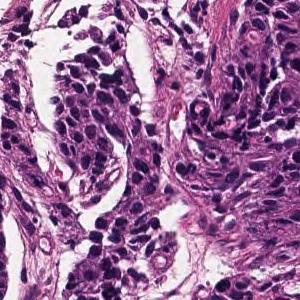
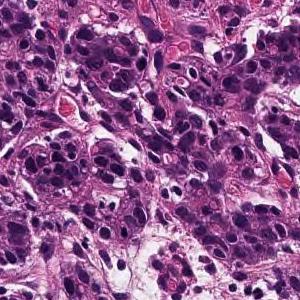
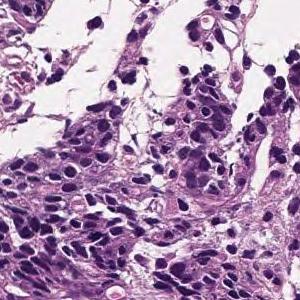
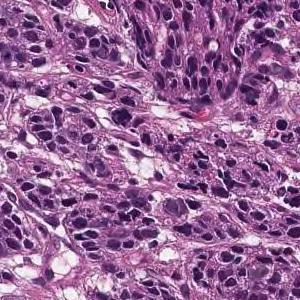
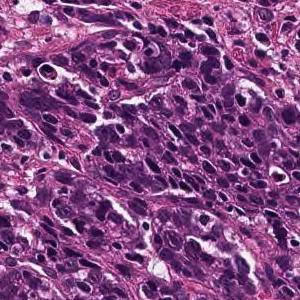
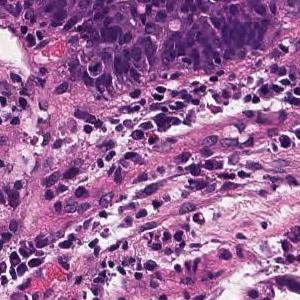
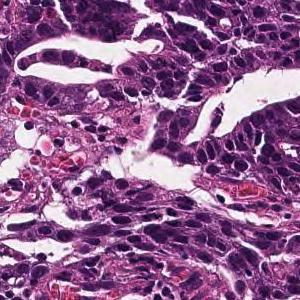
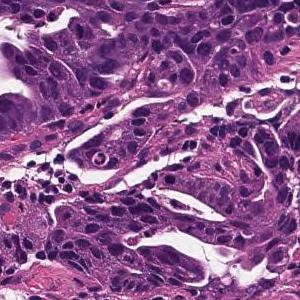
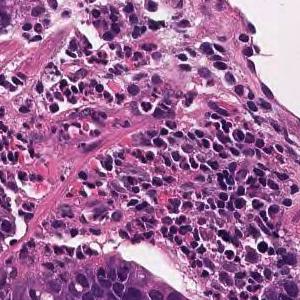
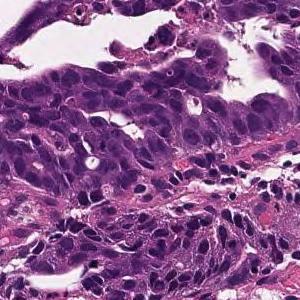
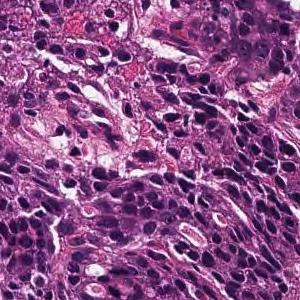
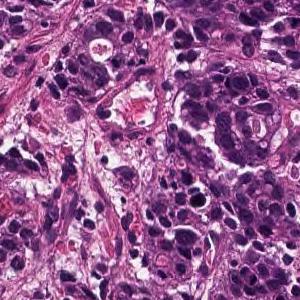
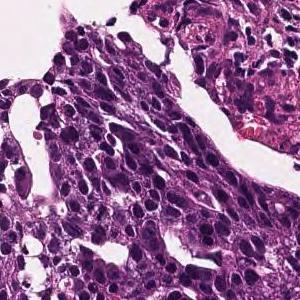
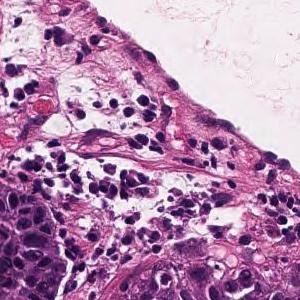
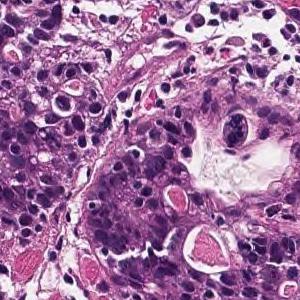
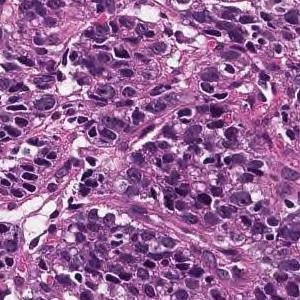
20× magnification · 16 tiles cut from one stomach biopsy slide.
Report on the slide these tiles come from. The report describes the whole slide, diagnosis included: not every finding it names need appear in these tiles, which may also show non-tumor tissue.
Medium to small, irregular glandular ducts are formed in the superficial epithelium, and in some cases, the glandular ducts are fused to show solid alveolar lesions and infiltrating tumor tissue is observed. Moderately to poorly differentiated adenocarcinoma.
